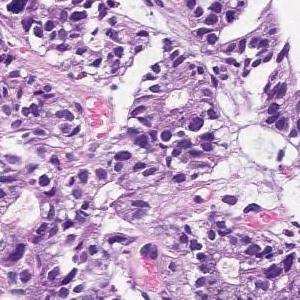
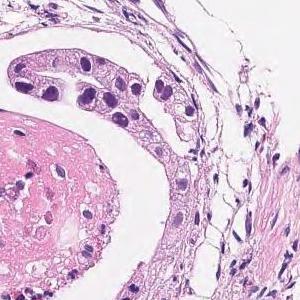
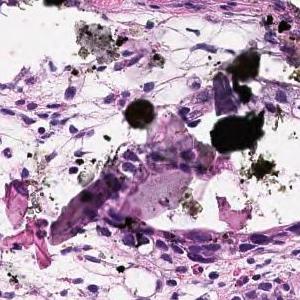
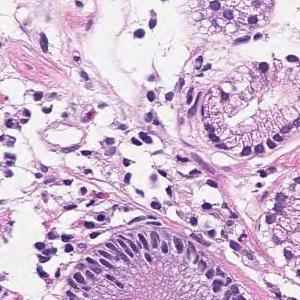
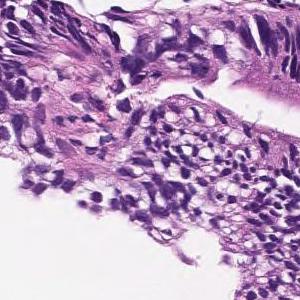
5 tiles from the same stomach biopsy slide · ×20 · H&E.
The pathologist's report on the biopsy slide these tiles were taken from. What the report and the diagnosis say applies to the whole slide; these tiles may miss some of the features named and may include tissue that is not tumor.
In the superficial epithelium, tumor tissue that invades by forming medium-sized to small, irregular ducts is observed. Moderately differentiated adenocarcinoma.
Tumor subtype: moderately differentiated tubular adenocarcinoma.
